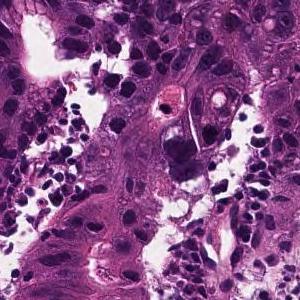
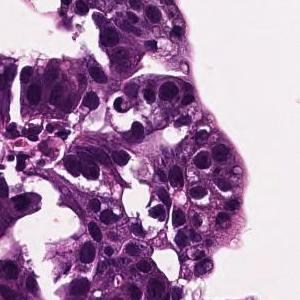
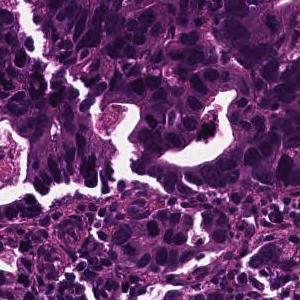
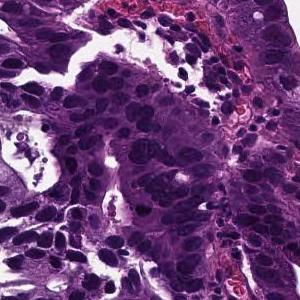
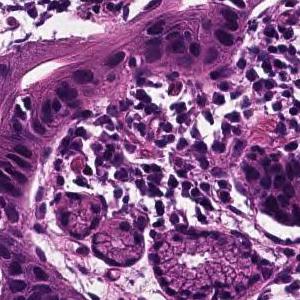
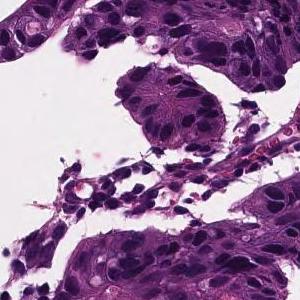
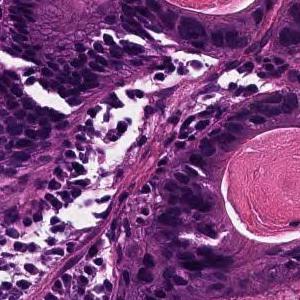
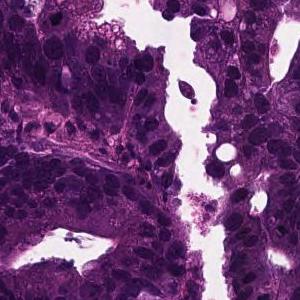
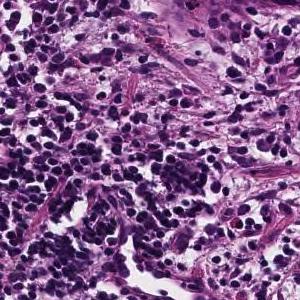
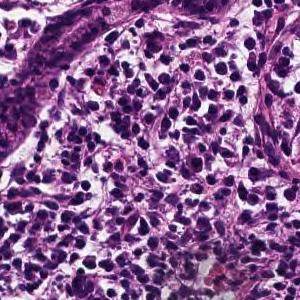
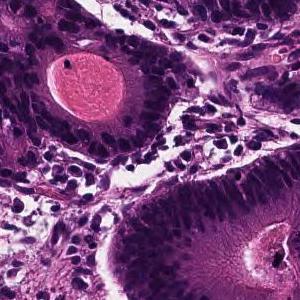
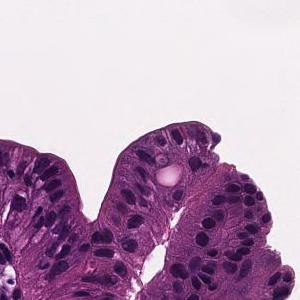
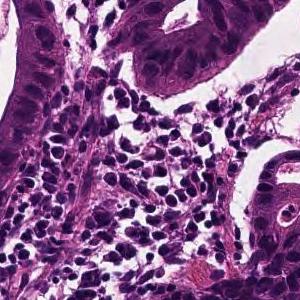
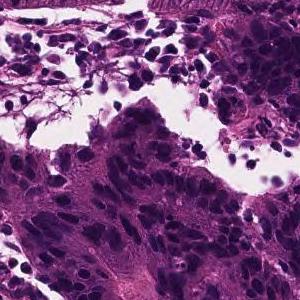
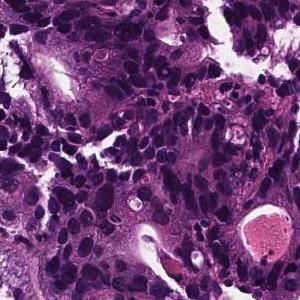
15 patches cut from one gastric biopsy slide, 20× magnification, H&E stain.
Pathology report for the slide these tiles were cut from. The report and the diagnosis describe the slide as a whole, so these tiles may not show every feature named and may include non-tumor tissue.
In the superficial epithelium, tumor tissue that invades by forming medium-sized to small, irregular ducts is observed. moderately differentiated tubular adenocarcinoma.
